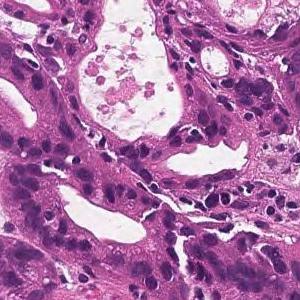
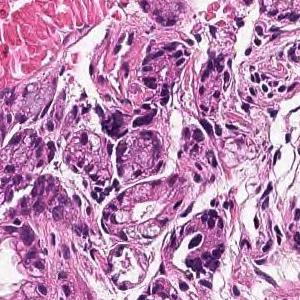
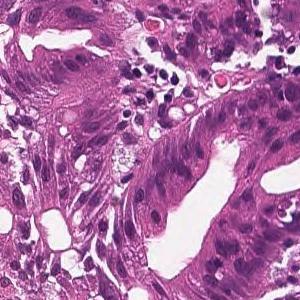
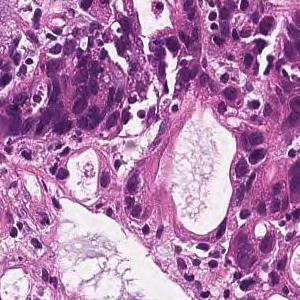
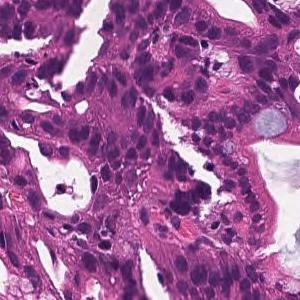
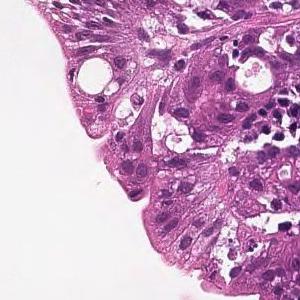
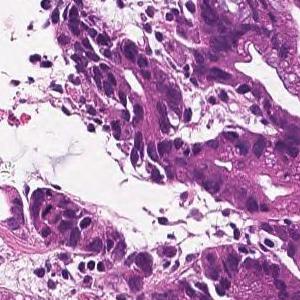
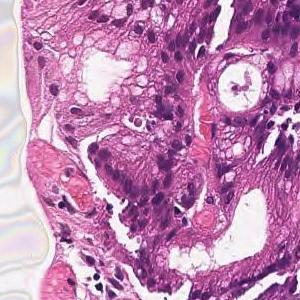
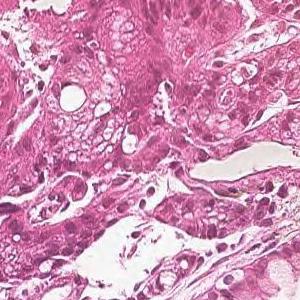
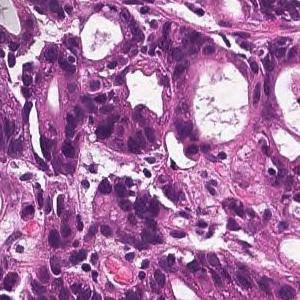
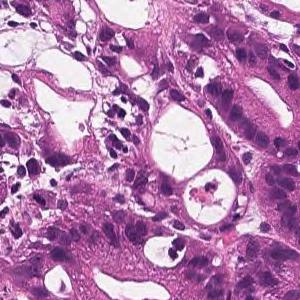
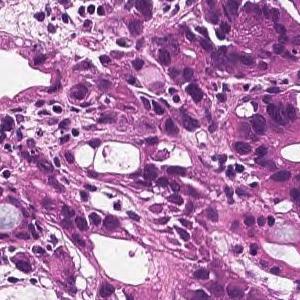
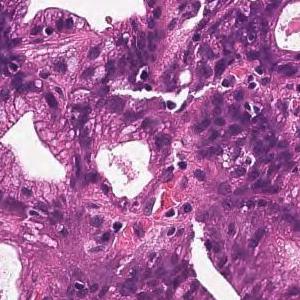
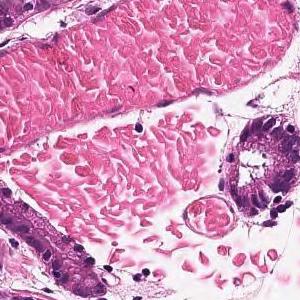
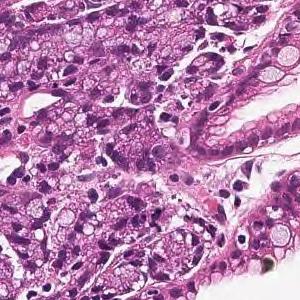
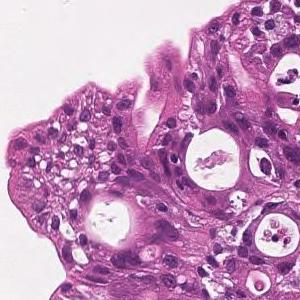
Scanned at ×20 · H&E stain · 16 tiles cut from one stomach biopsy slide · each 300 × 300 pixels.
Report on the slide these tiles come from. What the report and the diagnosis say applies to the whole slide; these tiles may miss some of the features named and may include tissue that is not tumor.
In the superficial epithelium, tumor tissue that invades by forming medium-sized to small, irregular ducts is observed. moderately differentiated tubular adenocarcinoma.
